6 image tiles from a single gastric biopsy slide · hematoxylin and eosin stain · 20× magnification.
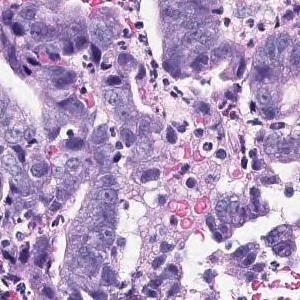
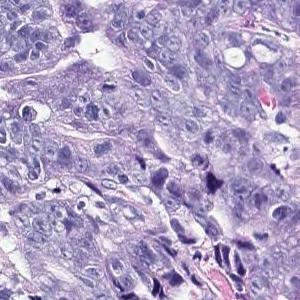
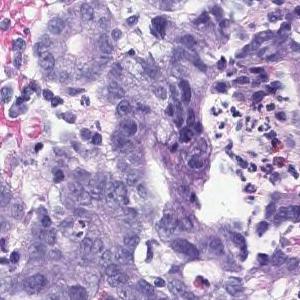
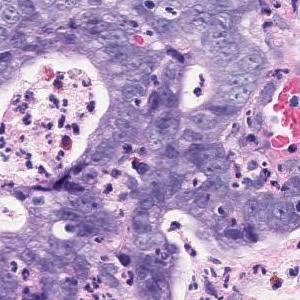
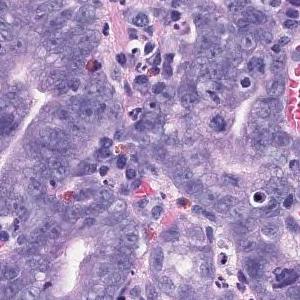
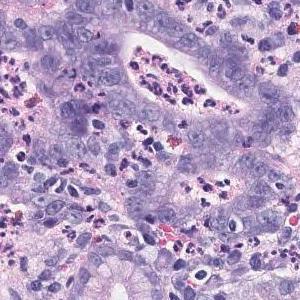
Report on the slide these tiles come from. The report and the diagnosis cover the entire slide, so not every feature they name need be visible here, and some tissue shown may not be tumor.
In the superficial epithelium, tumor tissue that invades by forming medium-sized to small, irregular ducts is observed. Moderately differentiated adenocarcinoma.
Classified as moderately differentiated tubular adenocarcinoma.
